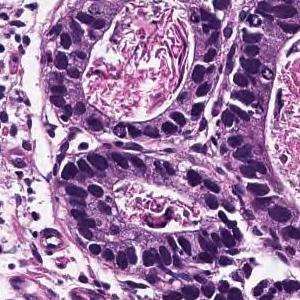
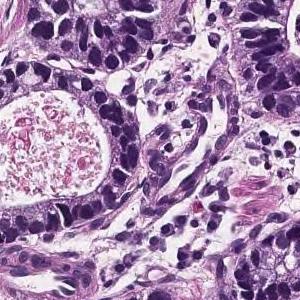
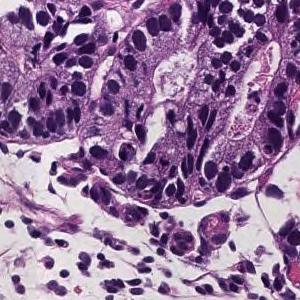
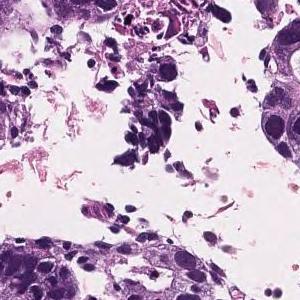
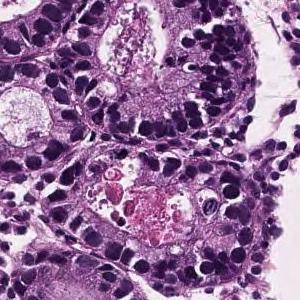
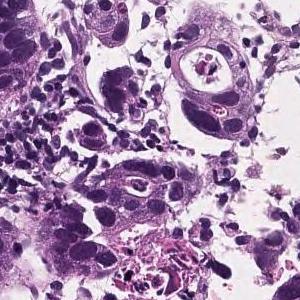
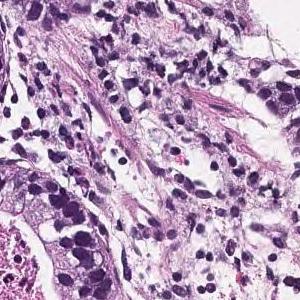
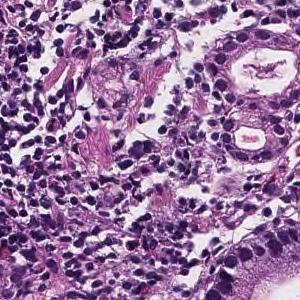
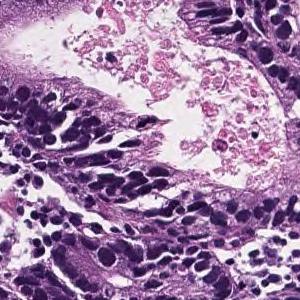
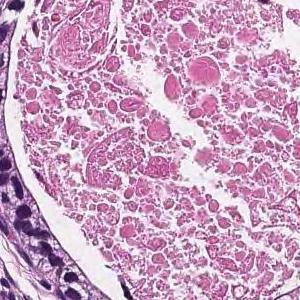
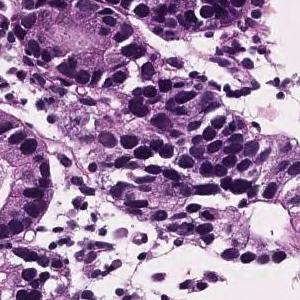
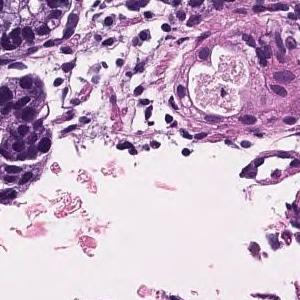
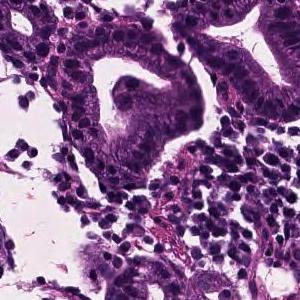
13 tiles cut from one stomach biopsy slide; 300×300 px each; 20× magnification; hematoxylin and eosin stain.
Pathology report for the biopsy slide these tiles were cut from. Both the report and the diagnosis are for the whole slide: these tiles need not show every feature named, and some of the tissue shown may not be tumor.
In the superficial epithelium, tumor tissue that invades by forming medium-sized to small, irregular ducts is observed. Well differentiated tubular adenocarcinoma.
